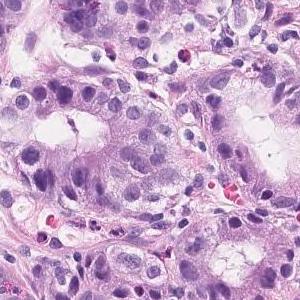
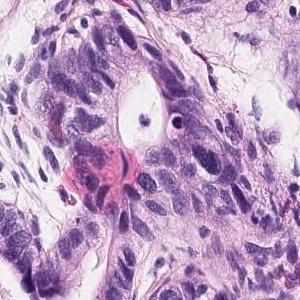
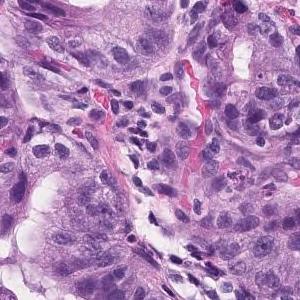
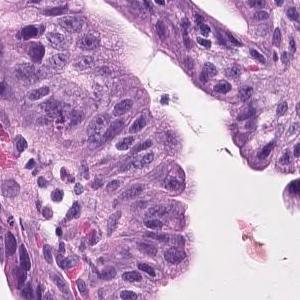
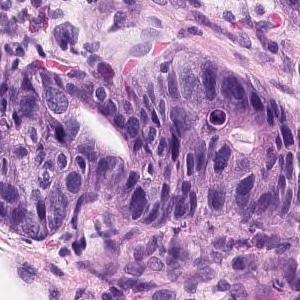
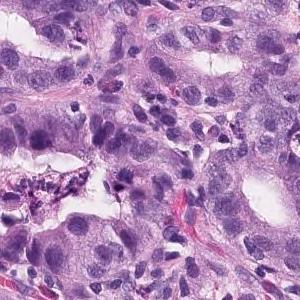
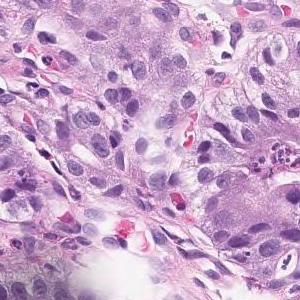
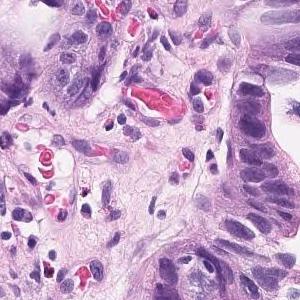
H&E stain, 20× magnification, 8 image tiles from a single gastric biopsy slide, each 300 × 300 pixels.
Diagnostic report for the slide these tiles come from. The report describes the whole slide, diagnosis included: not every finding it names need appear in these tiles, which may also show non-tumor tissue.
On the superficial epithelium, tumor tissue consisting of medium-sized to large-sized, round or irregular glandular duct growth images is observed. Well differentiated adenocarcinoma.
Tumor subtype: well differentiated tubular adenocarcinoma.
